14 patches cut from one gastric biopsy slide; 20× magnification; H&E.
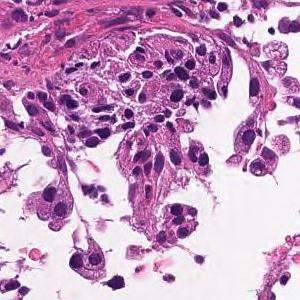
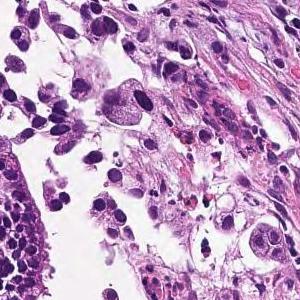
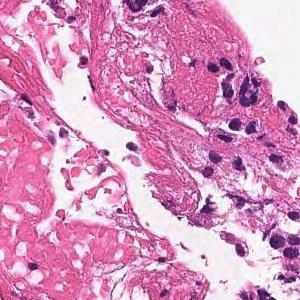
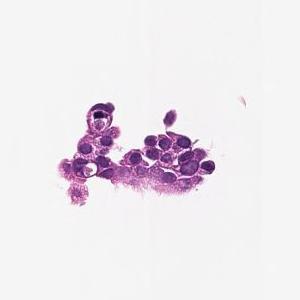
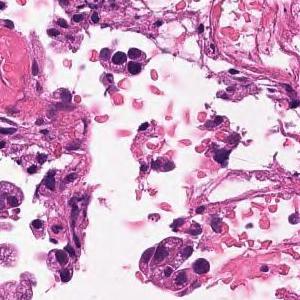
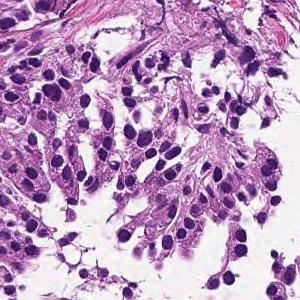
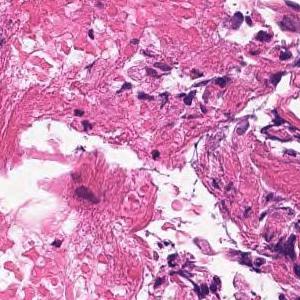
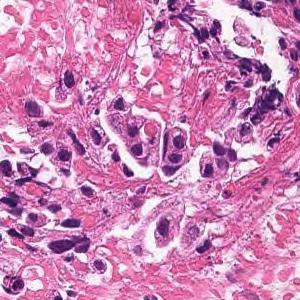
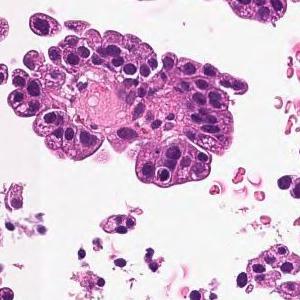
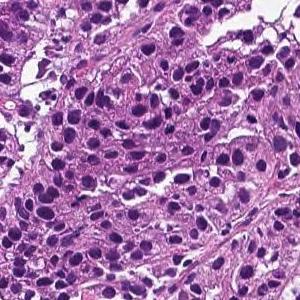
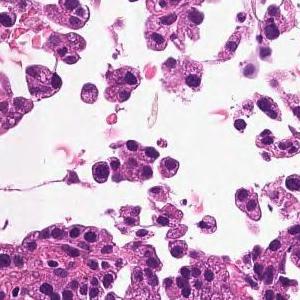
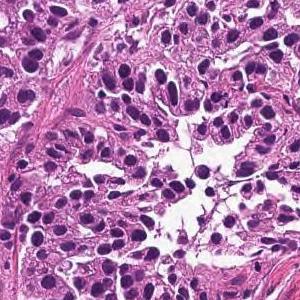
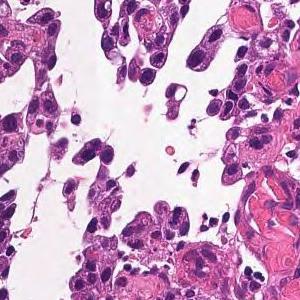
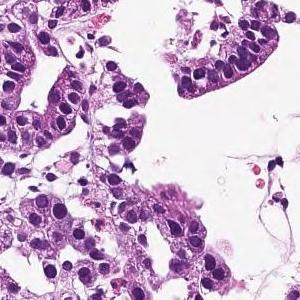
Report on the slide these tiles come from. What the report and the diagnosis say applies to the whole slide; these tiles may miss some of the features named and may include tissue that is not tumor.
In the superficial epithelium, tumor tissue that invades by forming medium-sized to small, irregular ducts is observed. moderately differentiated tubular adenocarcinoma.
